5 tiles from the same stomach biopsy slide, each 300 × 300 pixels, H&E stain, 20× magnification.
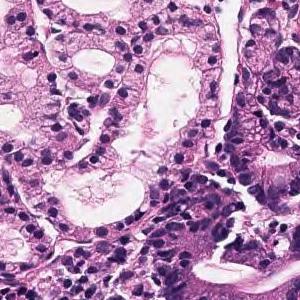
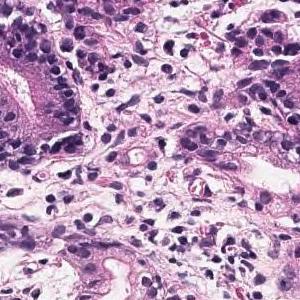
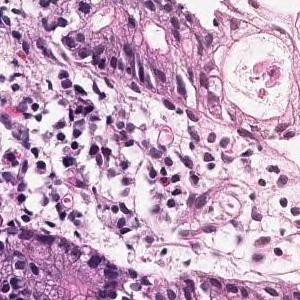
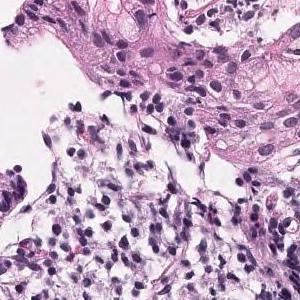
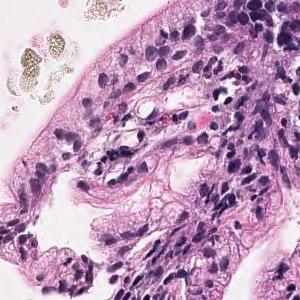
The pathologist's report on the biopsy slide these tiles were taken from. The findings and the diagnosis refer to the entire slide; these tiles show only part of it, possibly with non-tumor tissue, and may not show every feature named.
Tumor tissue that grows and grows is observed, showing a medium-sized round or irregular duct. moderately differentiated tubular adenocarcinoma
